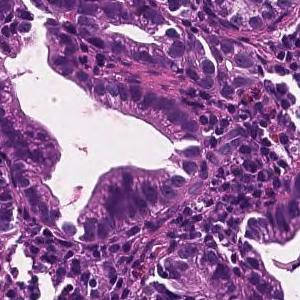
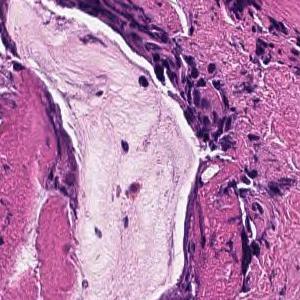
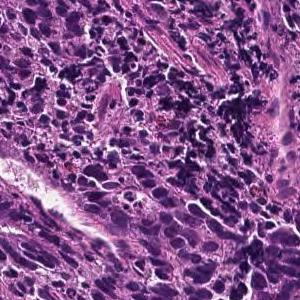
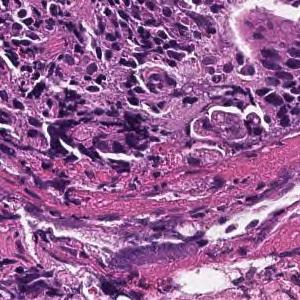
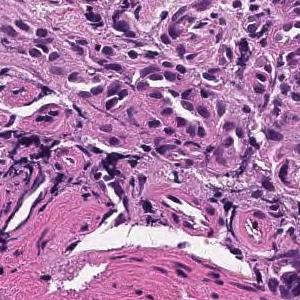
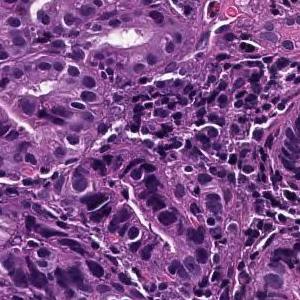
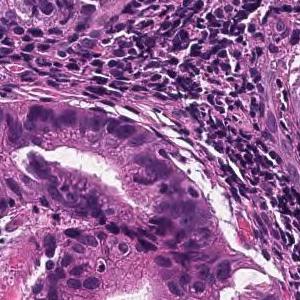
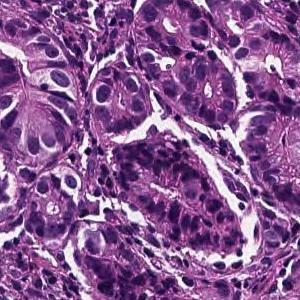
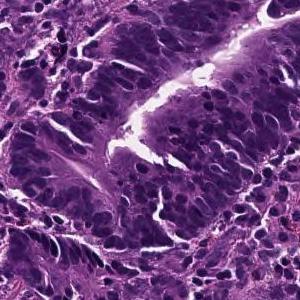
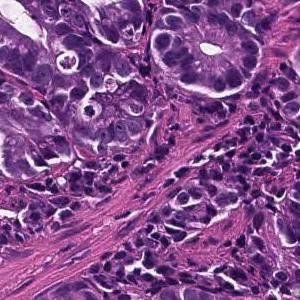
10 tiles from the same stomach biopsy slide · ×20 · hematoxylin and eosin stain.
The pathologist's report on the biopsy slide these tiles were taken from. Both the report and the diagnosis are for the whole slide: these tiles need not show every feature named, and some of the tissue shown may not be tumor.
On the superficial epithelium, tumor tissue consisting of large irregular glandular ducts partially fused and infiltrated is observed. Well to moderately differentiated tubular adenocarcinoma (well differentiated tubular adenocarcinoma, moderately differentiated tubular adenocarcinoma)
Classified as well to moderately differentiated tubular adenocarcinoma.
